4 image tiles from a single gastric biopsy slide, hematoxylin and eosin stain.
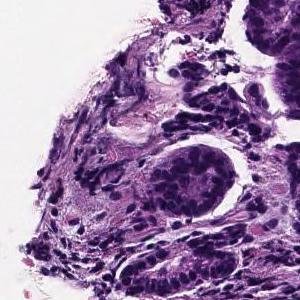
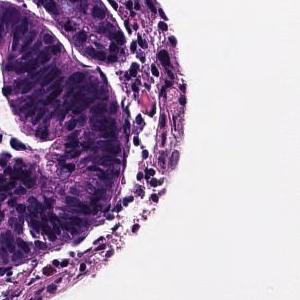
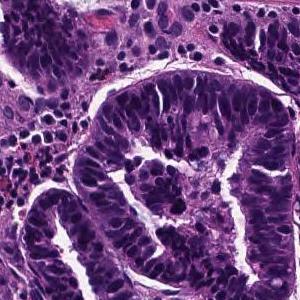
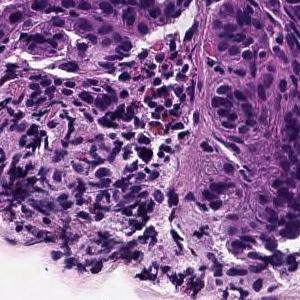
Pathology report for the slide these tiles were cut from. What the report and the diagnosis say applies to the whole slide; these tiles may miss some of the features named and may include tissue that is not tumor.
From the superficial epithelium to the muscularis mucosae, tumor tissue consisting of medium-sized and irregular glandular ducts infiltrating is observed. Well differentiated tubular adenocarcinoma
